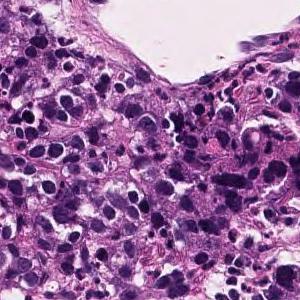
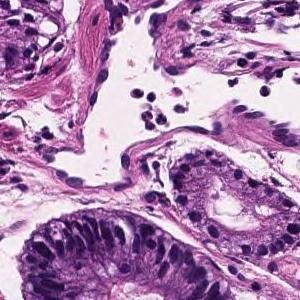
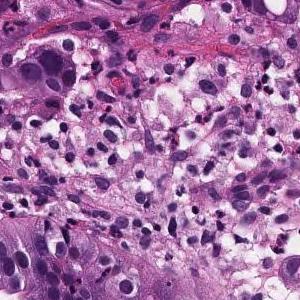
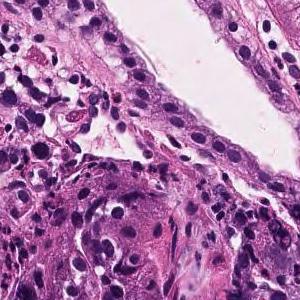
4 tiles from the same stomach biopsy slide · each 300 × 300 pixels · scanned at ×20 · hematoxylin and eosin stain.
Report on the slide these tiles come from. The report describes the whole slide, diagnosis included: not every finding it names need appear in these tiles, which may also show non-tumor tissue.
In the superficial epithelium, tumor tissue that invades by forming medium-sized to small, irregular ducts is observed. moderately differentiated tubular adenocarcinoma.
